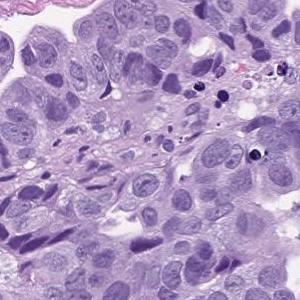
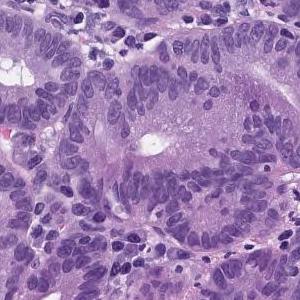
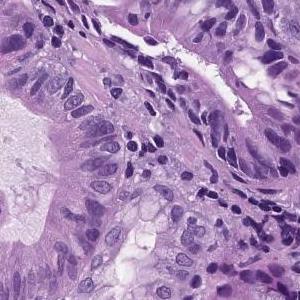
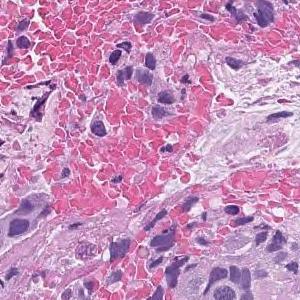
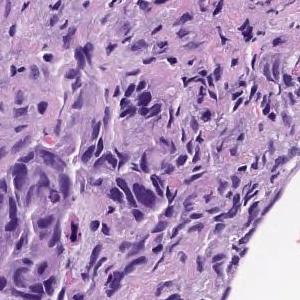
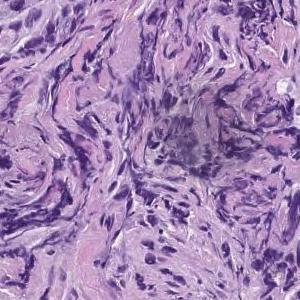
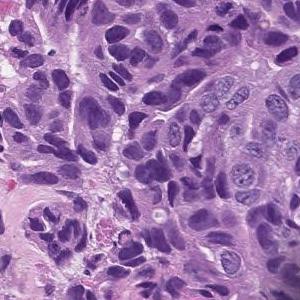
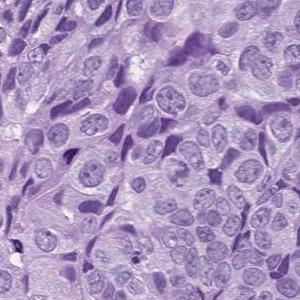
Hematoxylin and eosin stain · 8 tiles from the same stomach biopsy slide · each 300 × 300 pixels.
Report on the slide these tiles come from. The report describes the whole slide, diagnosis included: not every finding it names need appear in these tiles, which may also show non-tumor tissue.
In the superficial epithelium, tumor tissue that invades by forming medium-sized to small, irregular ducts is observed. moderately differentiated tubular adenocarcinoma.
